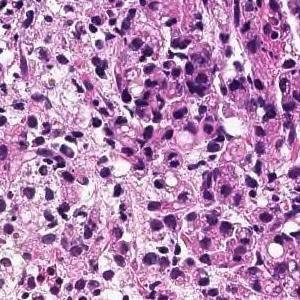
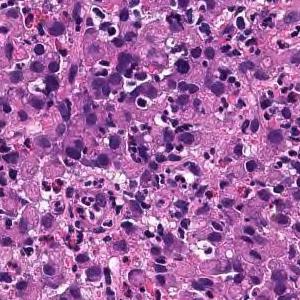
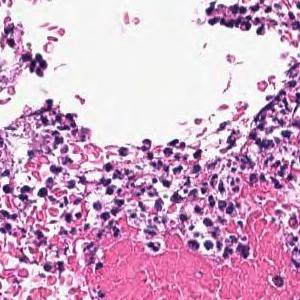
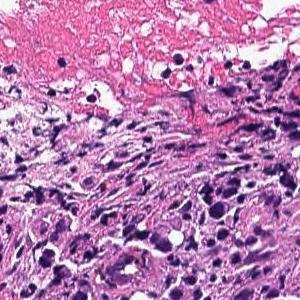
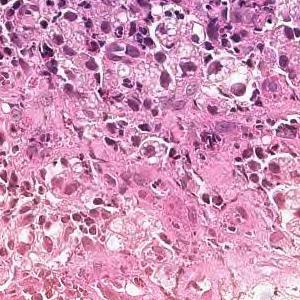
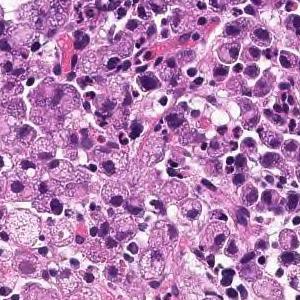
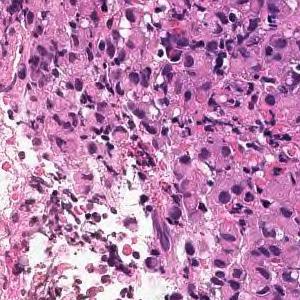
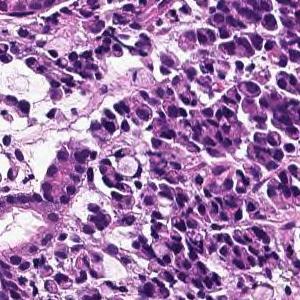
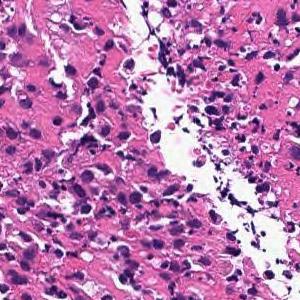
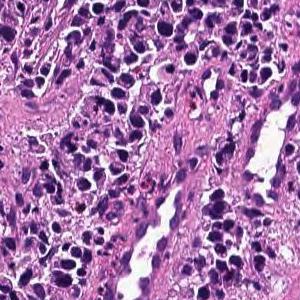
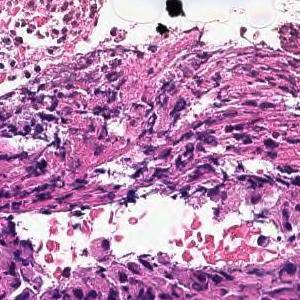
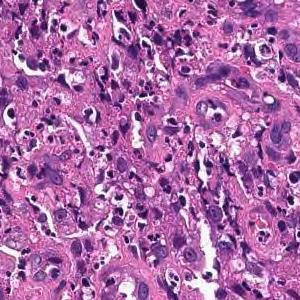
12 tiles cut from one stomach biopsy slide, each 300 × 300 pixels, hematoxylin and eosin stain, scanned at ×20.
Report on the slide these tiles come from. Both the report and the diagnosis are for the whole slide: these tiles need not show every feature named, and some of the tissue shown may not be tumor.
Tumor tissue consisting of diffusely infiltrated large atypical epithelial cells or signet ring atypical cells is observed in the superficial epithelium. Poorly differentiated adenocarcinoma, solid-type
Histologic type: Poorly differentiated adenocarcinoma, solid type (Japanese Classification of Gastric Carcinoma). The WHO 2019 equivalent is tubular adenocarcinoma, poorly differentiated.
